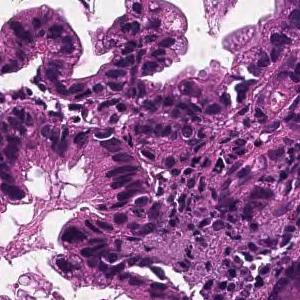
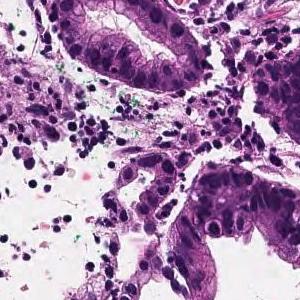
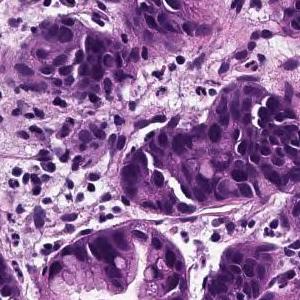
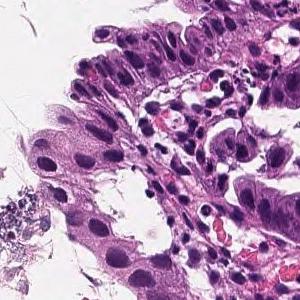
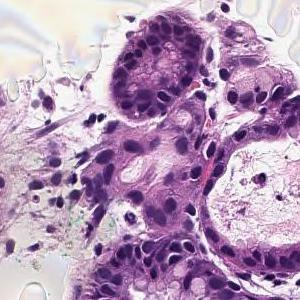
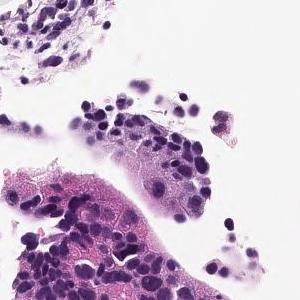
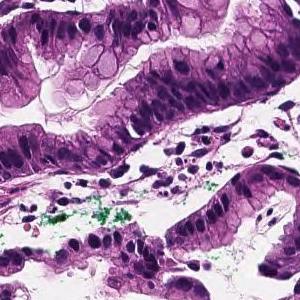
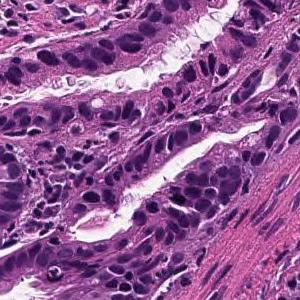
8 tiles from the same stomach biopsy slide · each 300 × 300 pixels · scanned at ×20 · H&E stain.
Report on the slide these tiles come from. The report and the diagnosis describe the slide as a whole, so these tiles may not show every feature named and may include non-tumor tissue.
Tumor cells are large, highly columnar, large club-shaped nuclei, and are associated with chromatin aggregation. Papillary adenocarcinoma.
